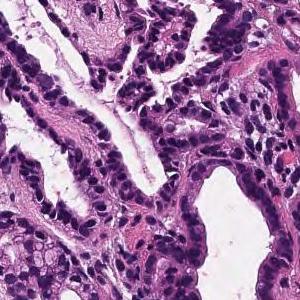
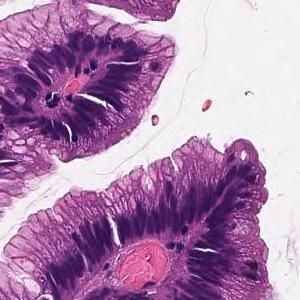
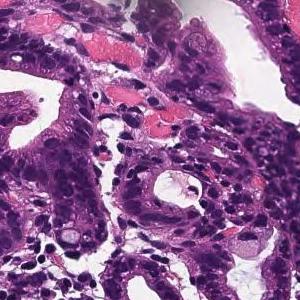
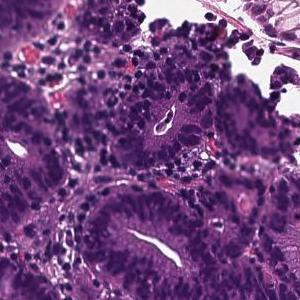
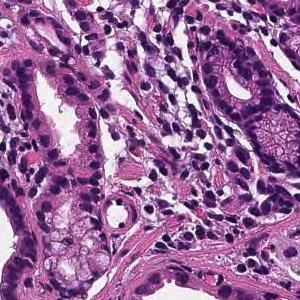
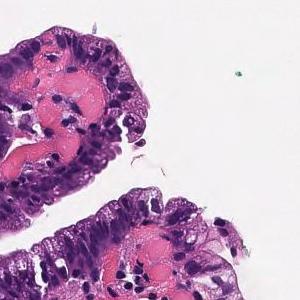
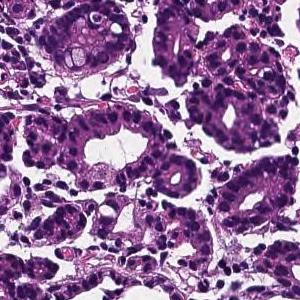
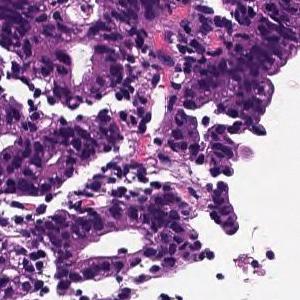
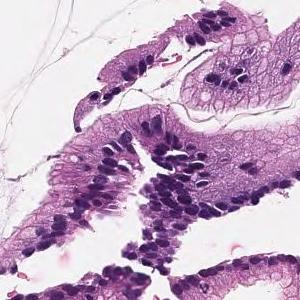
9 patches cut from one gastric biopsy slide · 20× magnification · hematoxylin and eosin stain.
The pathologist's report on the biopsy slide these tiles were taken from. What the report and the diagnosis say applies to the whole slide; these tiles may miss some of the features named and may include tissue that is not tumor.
Cells with elliptical or atypical nuclei form dense ducts with relatively clear growth. Well differentiated tubular adenocarcinoma
